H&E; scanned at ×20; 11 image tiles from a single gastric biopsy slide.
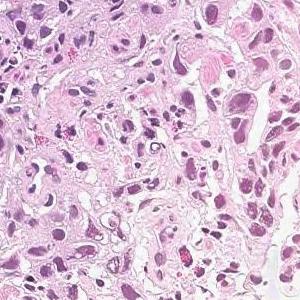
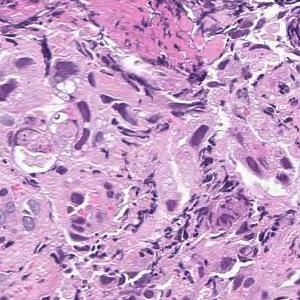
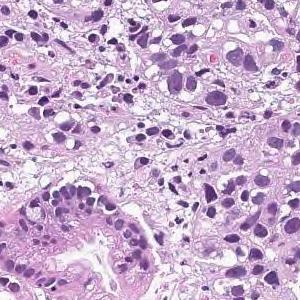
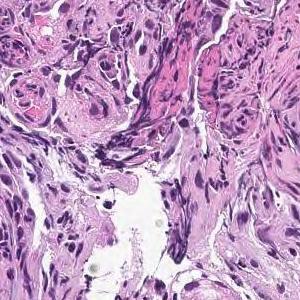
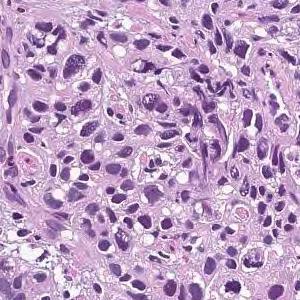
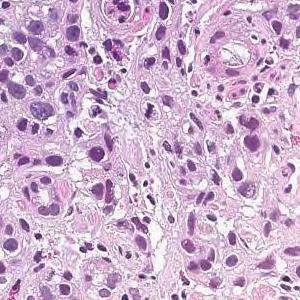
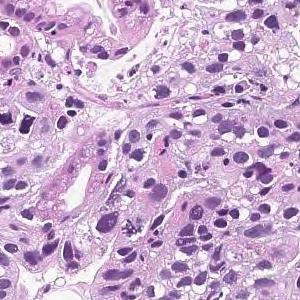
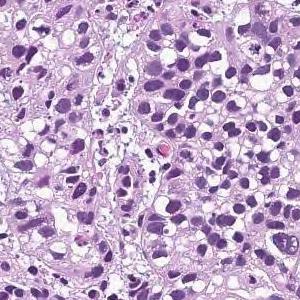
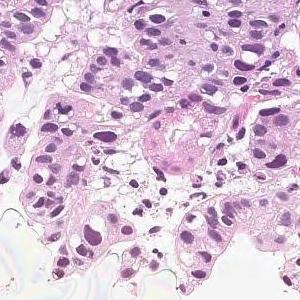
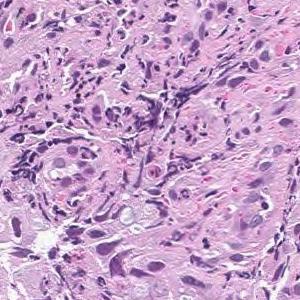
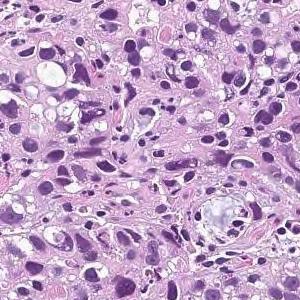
The pathologist's report on the biopsy slide these tiles were taken from. What the report and the diagnosis say applies to the whole slide; these tiles may miss some of the features named and may include tissue that is not tumor.
Tumor tissue consisting of cord-like or small, irregular glandular ducts fused and infiltrated is observed in the superficial epithelium. Poorly differentiated adenocarcinoma, non-solid type
"Non-solid type" is a category of the Japanese Classification of Gastric Carcinoma.
